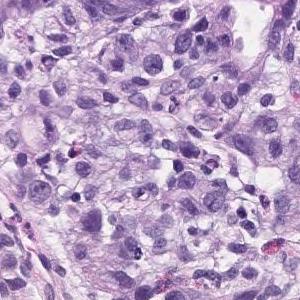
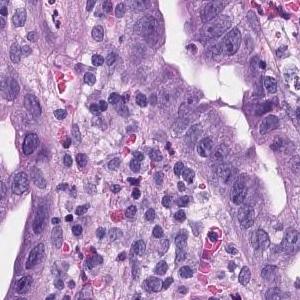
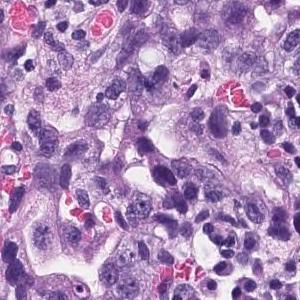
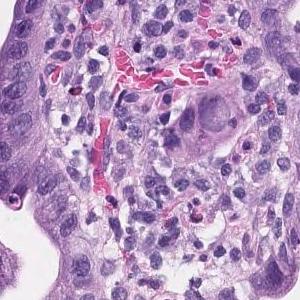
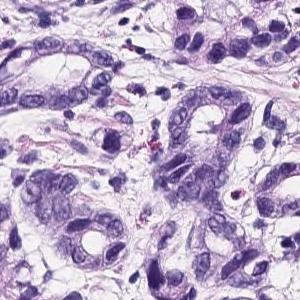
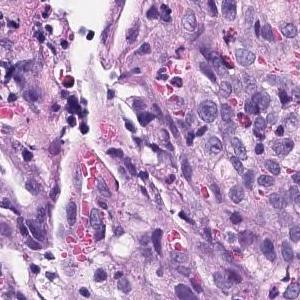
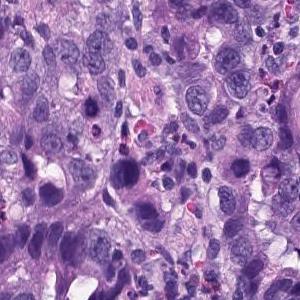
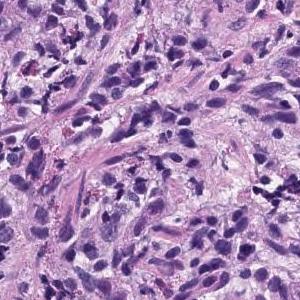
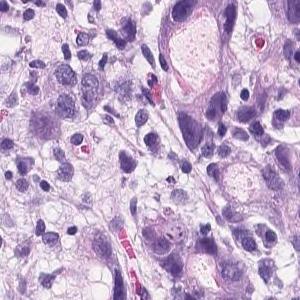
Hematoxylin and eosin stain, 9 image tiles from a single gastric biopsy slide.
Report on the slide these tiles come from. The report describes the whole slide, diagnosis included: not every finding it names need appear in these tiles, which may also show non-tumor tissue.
There are atypical l cells with atypical nuclei forming cord-like or irregular atypical ducts from solidity and proliferating in a comprehensive manner. Poorly differentiated adenocarcinoma, Moderately differentiated adenocarcinoma (poorly differentiated adenocarcinoma, solid type moderately differentiated tubular adenocarcinoma)
Tumor subtype: moderately to poorly differentiated adenocarcinoma.
The term "solid type" comes from the Japanese Classification of Gastric Carcinoma; the WHO 2019 equivalent is tubular adenocarcinoma, poorly differentiated.
